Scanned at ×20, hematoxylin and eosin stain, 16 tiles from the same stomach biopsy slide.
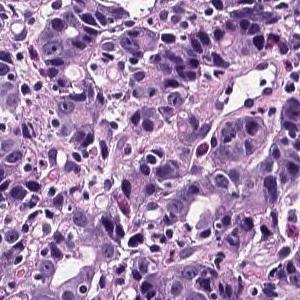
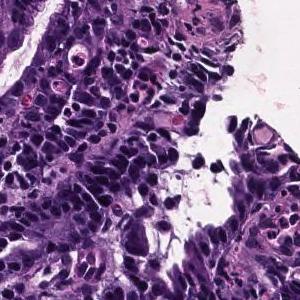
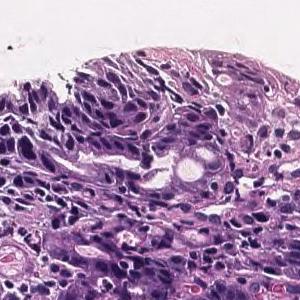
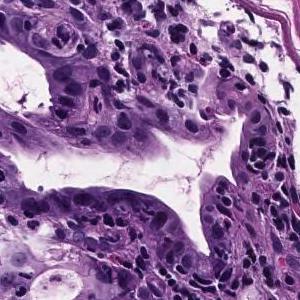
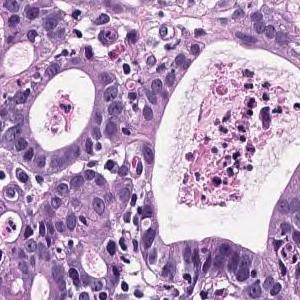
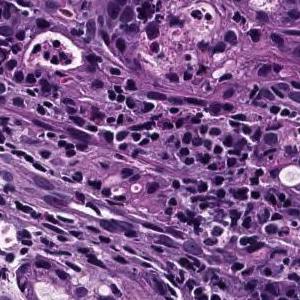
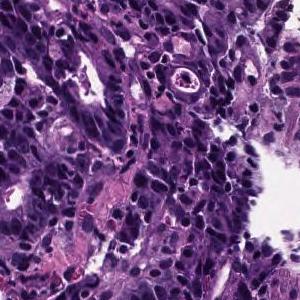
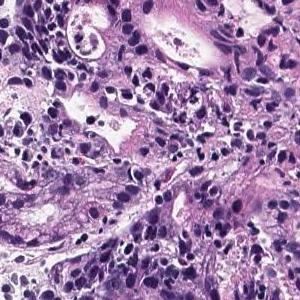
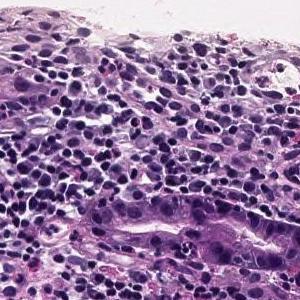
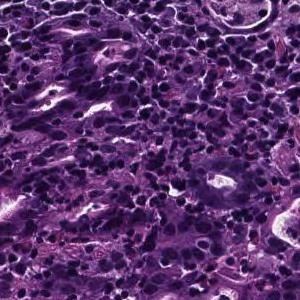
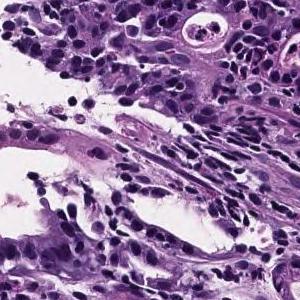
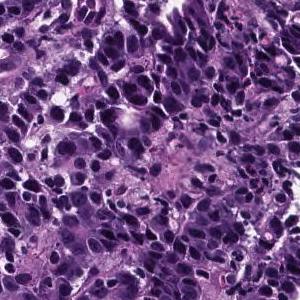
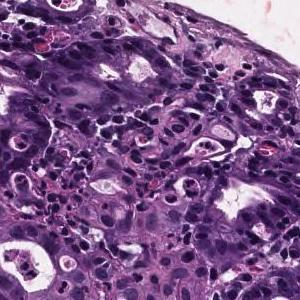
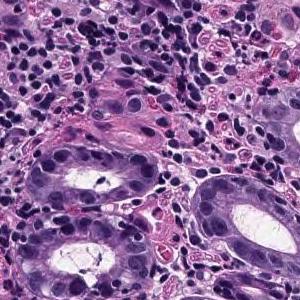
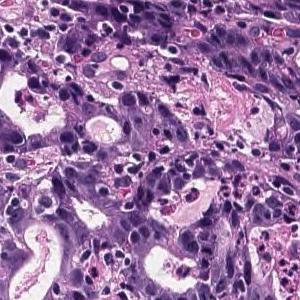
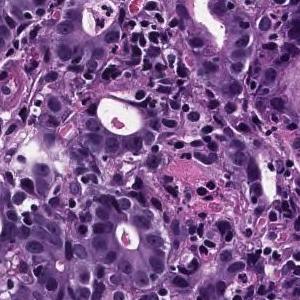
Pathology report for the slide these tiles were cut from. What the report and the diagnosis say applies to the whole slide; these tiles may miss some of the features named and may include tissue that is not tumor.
In the superficial epithelium, tumor tissue that invades by forming medium-sized to small, irregular ducts is observed. moderately differentiated tubular adenocarcinoma.
